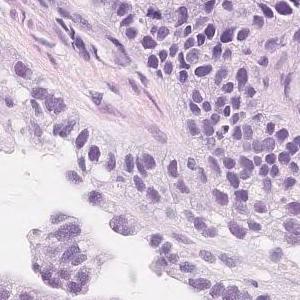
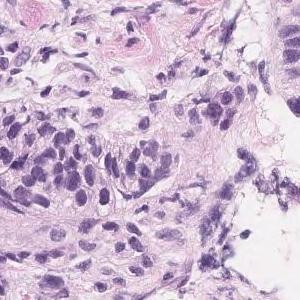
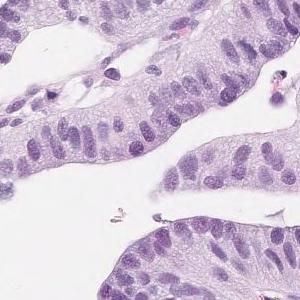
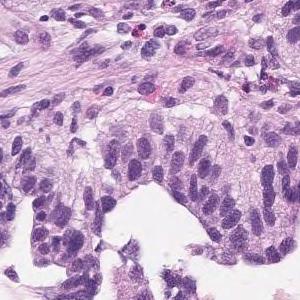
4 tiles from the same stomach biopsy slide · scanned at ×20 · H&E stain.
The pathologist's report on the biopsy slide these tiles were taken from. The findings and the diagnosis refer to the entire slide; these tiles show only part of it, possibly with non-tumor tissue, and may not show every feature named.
Tumor tissue in which highly columnar atypical epithelial cells with nuclear enlargement and increased nuclear chromatin show papillary to papillary ductal structure and proliferate is observed. Papillary adenocarcinoma.
